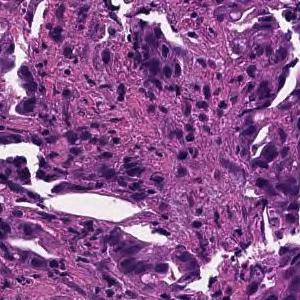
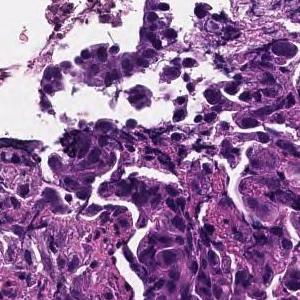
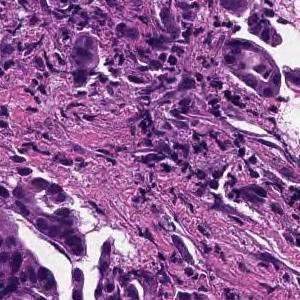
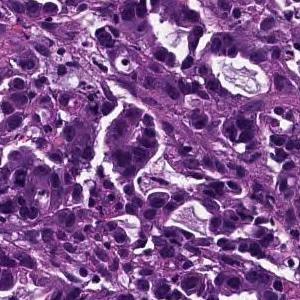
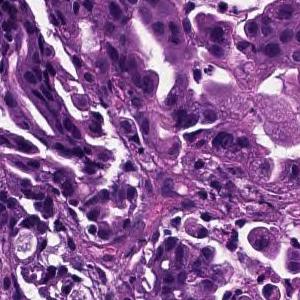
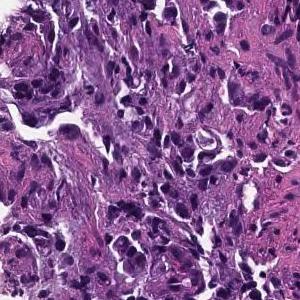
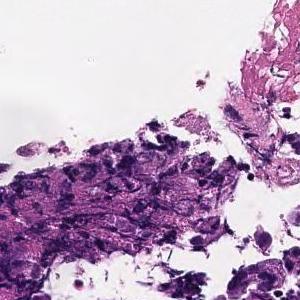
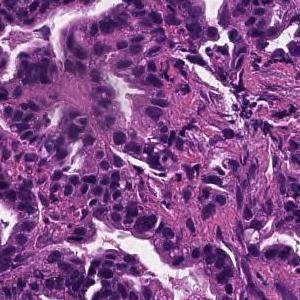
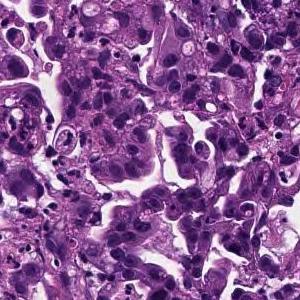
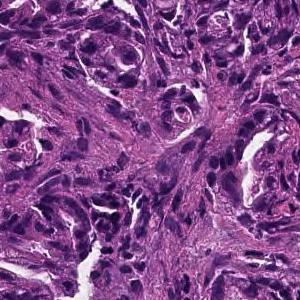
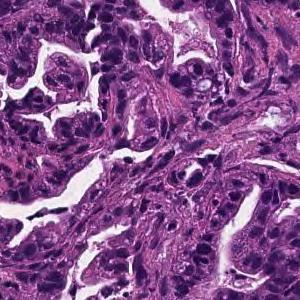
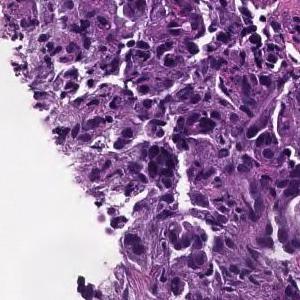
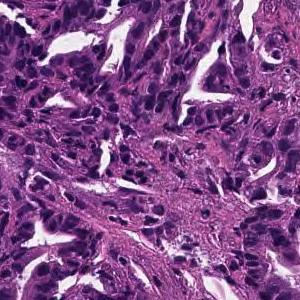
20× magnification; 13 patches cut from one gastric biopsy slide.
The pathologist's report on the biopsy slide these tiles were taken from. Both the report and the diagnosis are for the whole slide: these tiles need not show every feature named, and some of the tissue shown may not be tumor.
Tumor tissue consisting of medium-sized, cord-like or irregular glandular infiltration is observed in the superficial epithelium. Poorly differentiated adenocarcinoma, non-solid type or moderately differentiated tubular adenocarcinoma
Tumor subtype: moderately to poorly differentiated adenocarcinoma.
The term "non-solid type" comes from the Japanese Classification of Gastric Carcinoma.
